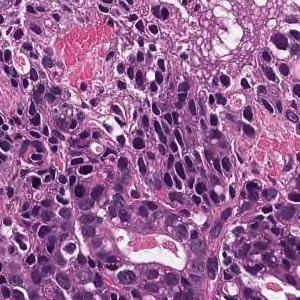
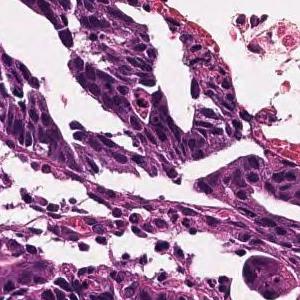
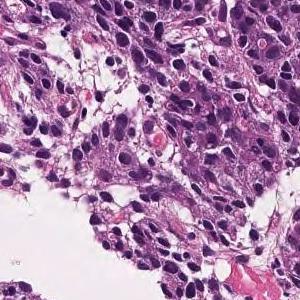
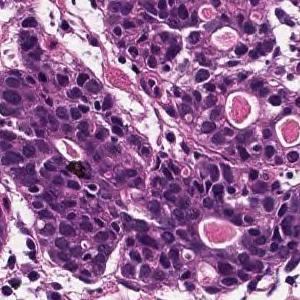
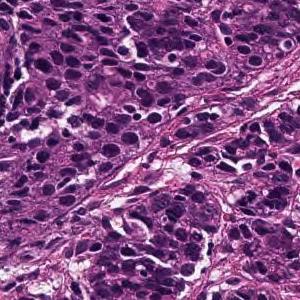
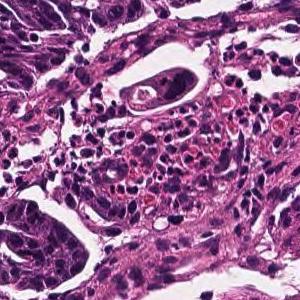
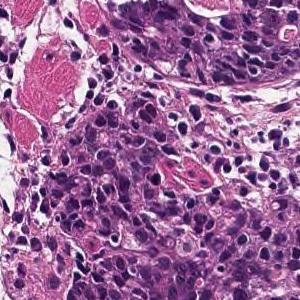
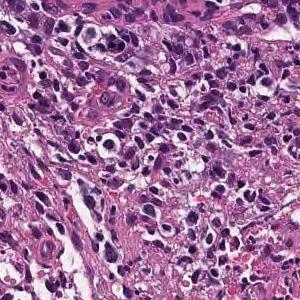
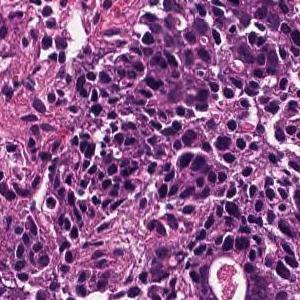
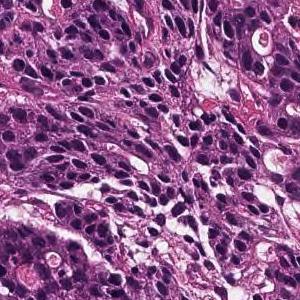
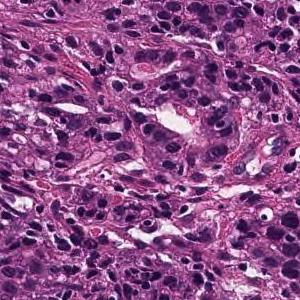
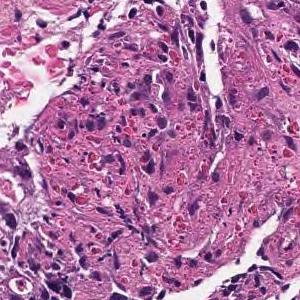
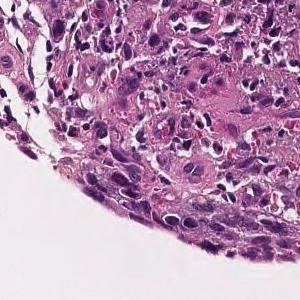
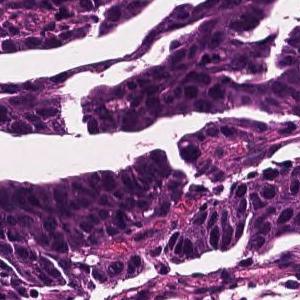
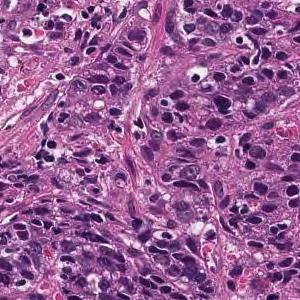
Hematoxylin and eosin stain, ×20, 15 tiles from the same stomach biopsy slide.
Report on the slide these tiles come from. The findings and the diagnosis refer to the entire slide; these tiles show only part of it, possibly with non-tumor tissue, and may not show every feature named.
Medium to small, irregular glandular ducts are formed in the superficial epithelium, and in some cases, the glandular ducts are fused to show solid alveolar lesions and infiltrating tumor tissue is observed. Moderately to poorly differentiated adenocarcinoma.
